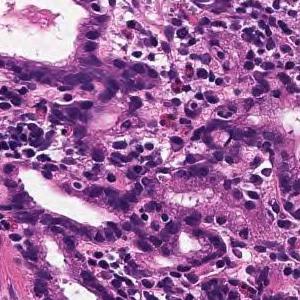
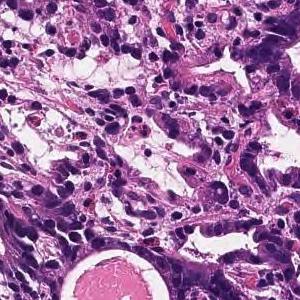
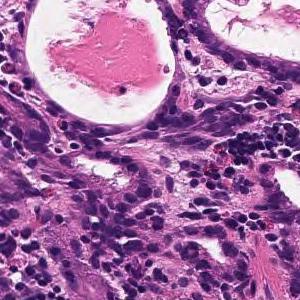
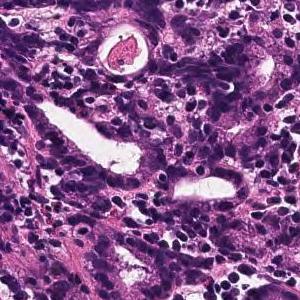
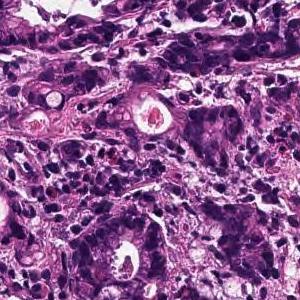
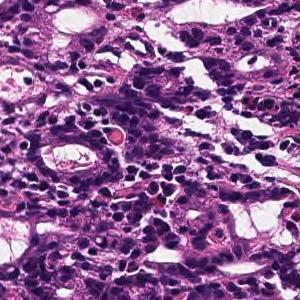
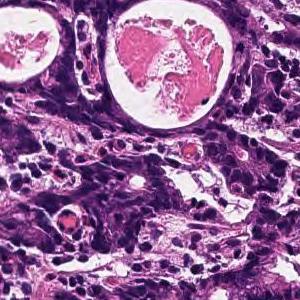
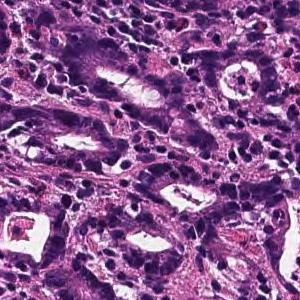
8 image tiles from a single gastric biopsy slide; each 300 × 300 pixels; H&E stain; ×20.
Pathology report for the slide these tiles were cut from. The report and the diagnosis cover the entire slide, so not every feature they name need be visible here, and some tissue shown may not be tumor.
On the superficial epithelium, tumor tissue is found in which medium-sized irregular gland ducts fuse with each other and infiltrate. moderately differentiated tubular adenocarcinoma
